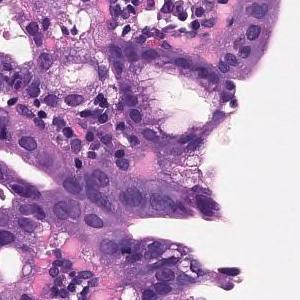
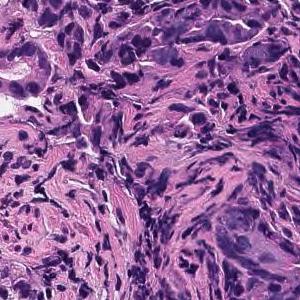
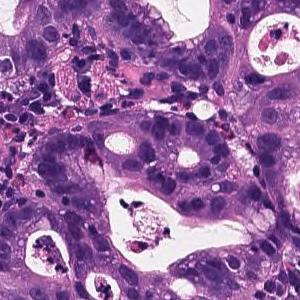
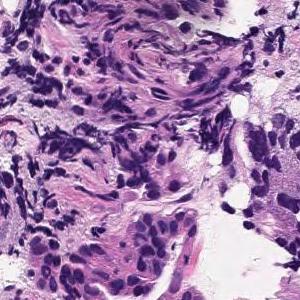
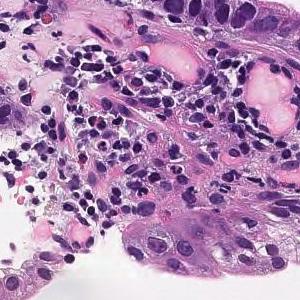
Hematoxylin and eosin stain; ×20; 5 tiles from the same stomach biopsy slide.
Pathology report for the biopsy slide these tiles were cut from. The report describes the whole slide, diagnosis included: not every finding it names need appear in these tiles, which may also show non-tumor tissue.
On the superficial epithelium, tumor tissue consisting of large, irregular glandular ducts partially fused and infiltrated is observed. Well to moderately differentiated tubular adenocarcinoma (well differentiated tubular adenocarcinoma, moderately differentiated tubular adenocarcinoma)
Subtype: Well to moderately differentiated tubular adenocarcinoma.
